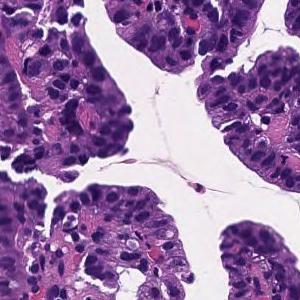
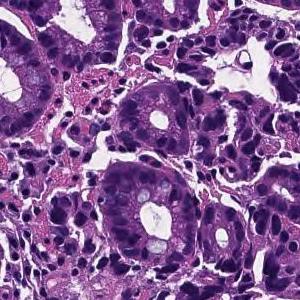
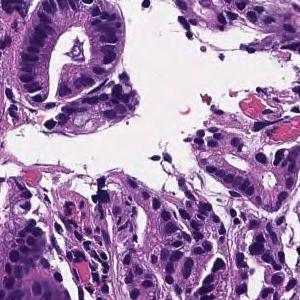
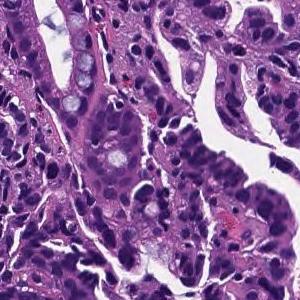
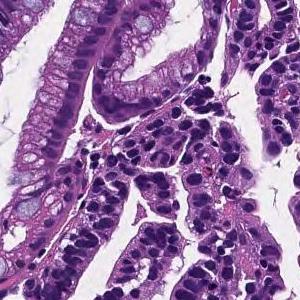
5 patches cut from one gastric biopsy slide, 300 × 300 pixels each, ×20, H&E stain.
The pathologist's report on the biopsy slide these tiles were taken from. Both the report and the diagnosis are for the whole slide: these tiles need not show every feature named, and some of the tissue shown may not be tumor.
Tumor cells are large, highly columnar, large club-shaped nuclei, and are associated with chromatin aggregation. Papillary adenocarcinoma.
